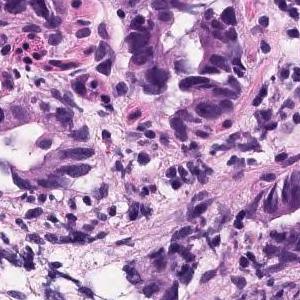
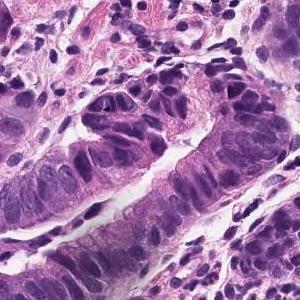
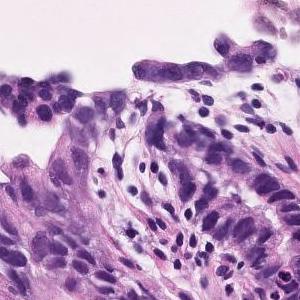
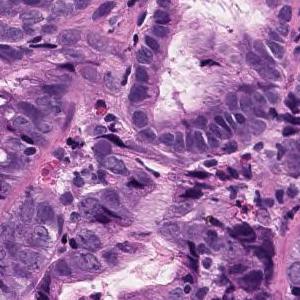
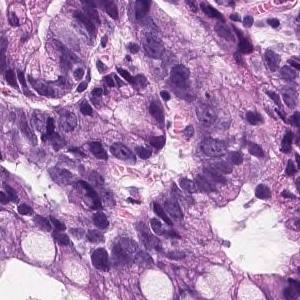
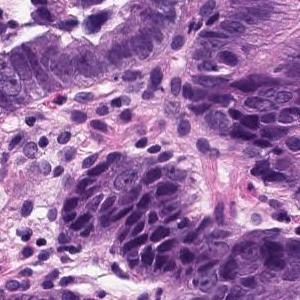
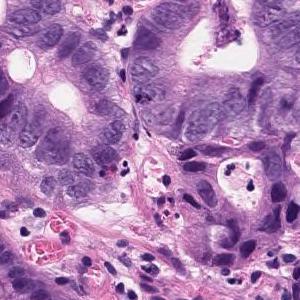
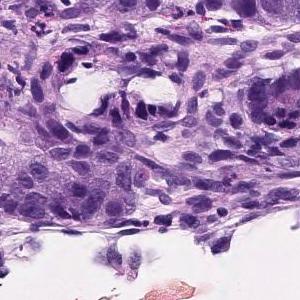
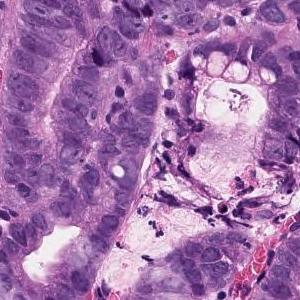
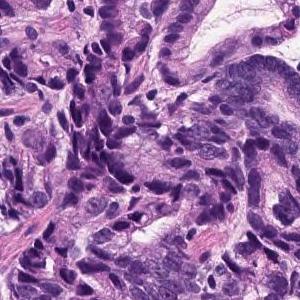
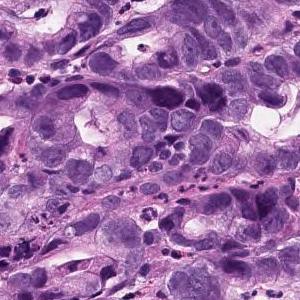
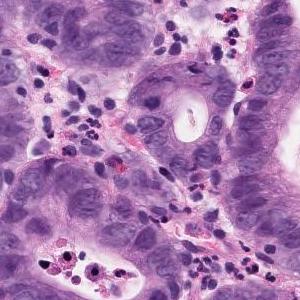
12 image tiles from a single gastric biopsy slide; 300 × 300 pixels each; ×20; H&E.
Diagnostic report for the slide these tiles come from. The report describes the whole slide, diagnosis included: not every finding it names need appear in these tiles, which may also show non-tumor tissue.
The swollen atypical epithelium of the nucleus forms an irregular ductal structure and proliferates. moderately differentiated tubular adenocarcinoma
